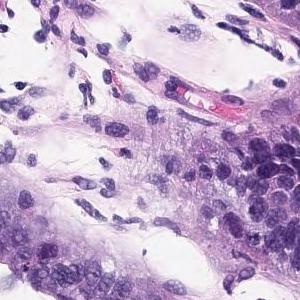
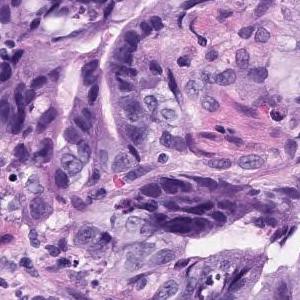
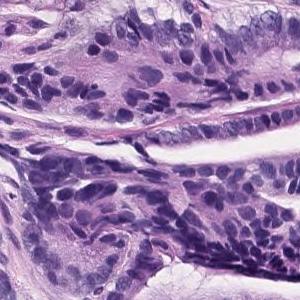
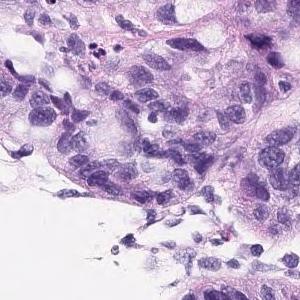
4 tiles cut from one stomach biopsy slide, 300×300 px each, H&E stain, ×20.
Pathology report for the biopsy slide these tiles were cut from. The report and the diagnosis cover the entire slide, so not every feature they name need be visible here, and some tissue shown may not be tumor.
In the superficial epithelium, tumor tissue that invades by forming medium-sized to small, irregular ducts is observed. Well to moderately differentiated tubular adenocarcinoma.
